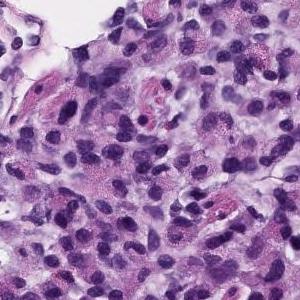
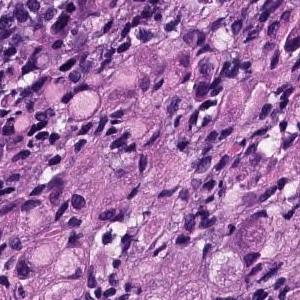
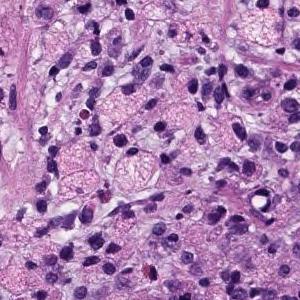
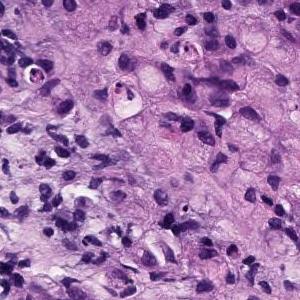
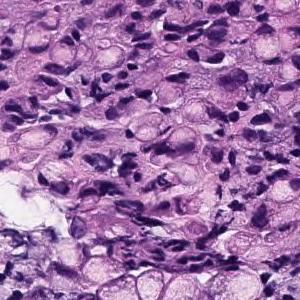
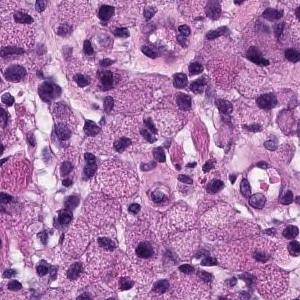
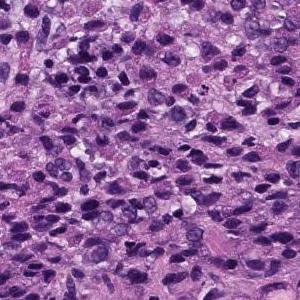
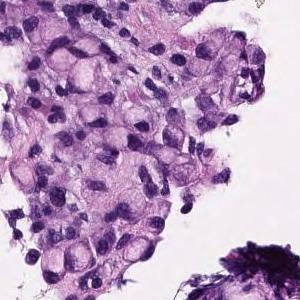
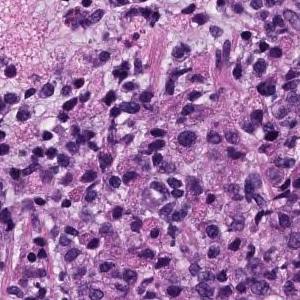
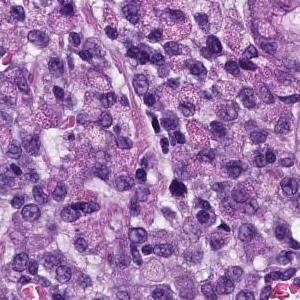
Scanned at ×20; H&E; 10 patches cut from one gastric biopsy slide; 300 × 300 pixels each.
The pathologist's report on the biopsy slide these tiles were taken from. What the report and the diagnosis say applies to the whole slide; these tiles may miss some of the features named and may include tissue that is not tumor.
The superficial epithelium shows a large sheet-like shape, and some tumor tissue infiltrates with small irregular ducts. Poorly differentiated adenocarcinoma, solid-type
Histologic type: Poorly differentiated adenocarcinoma, solid type (Japanese Classification of Gastric Carcinoma). The WHO 2019 equivalent is tubular adenocarcinoma, poorly differentiated.
